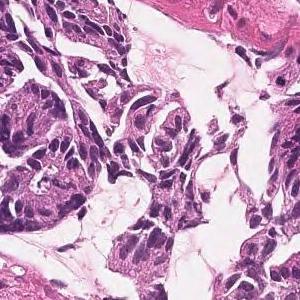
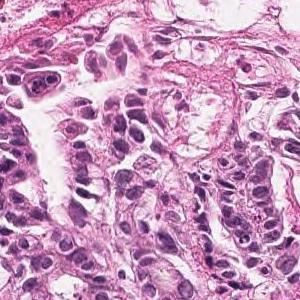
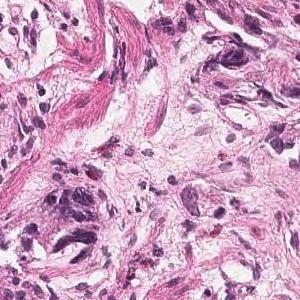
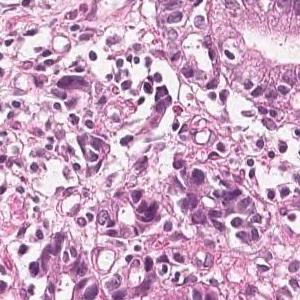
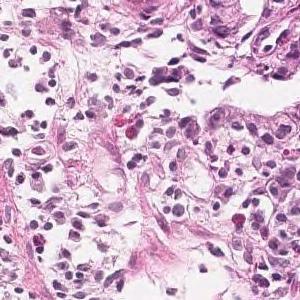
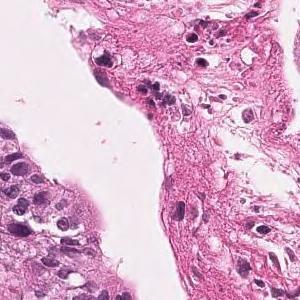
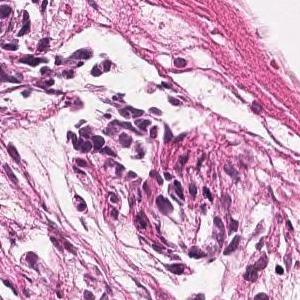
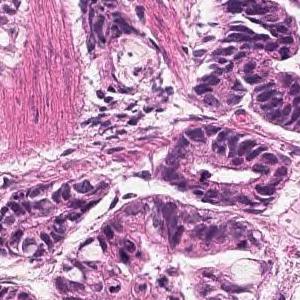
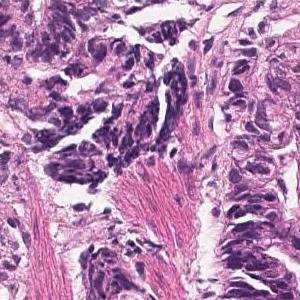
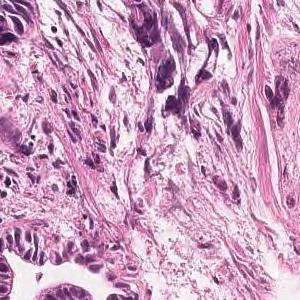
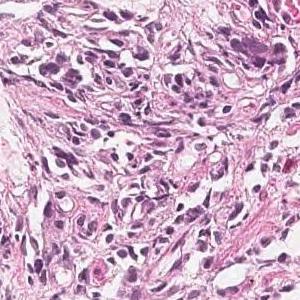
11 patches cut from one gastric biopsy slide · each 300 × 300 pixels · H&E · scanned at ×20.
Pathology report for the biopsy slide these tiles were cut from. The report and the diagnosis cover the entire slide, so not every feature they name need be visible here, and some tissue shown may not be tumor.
On the superficial epithelium, tumor tissue consisting of large, irregular glandular ducts partially fused and infiltrated is observed. Well to moderately differentiated tubular adenocarcinoma (well differentiated tubular adenocarcinoma, moderately differentiated tubular adenocarcinoma)
Histologic type: Well to moderately differentiated tubular adenocarcinoma.
